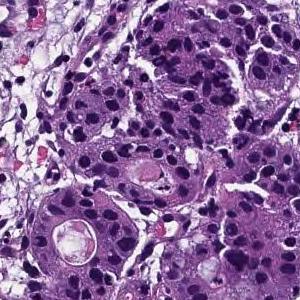
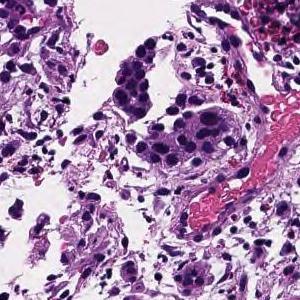
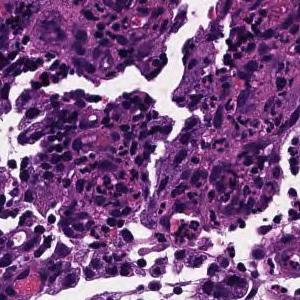
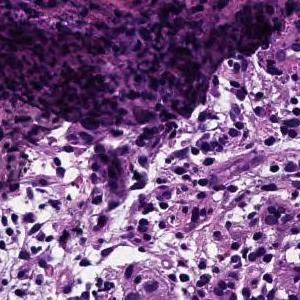
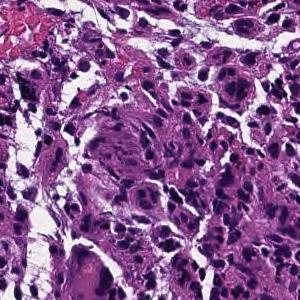
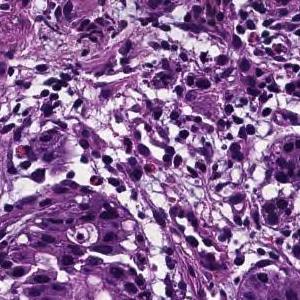
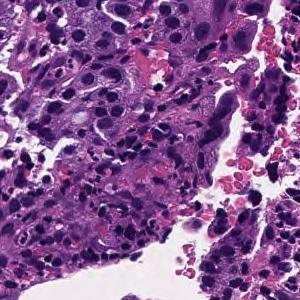
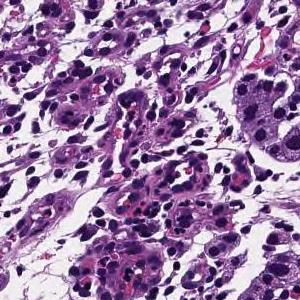
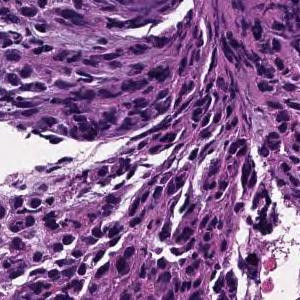
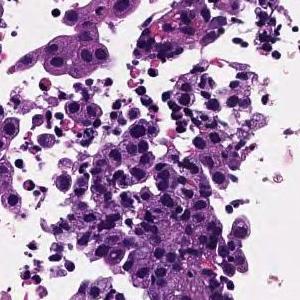
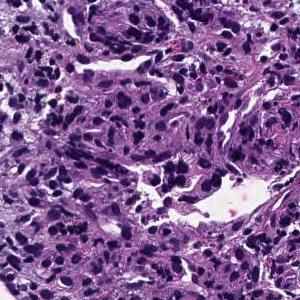
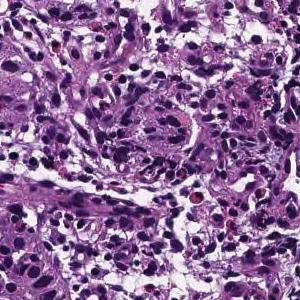
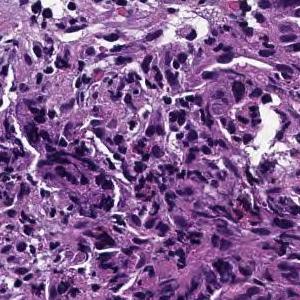
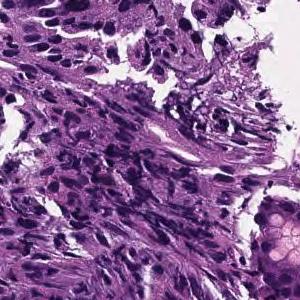
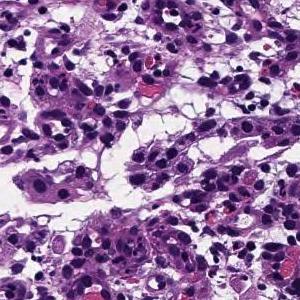
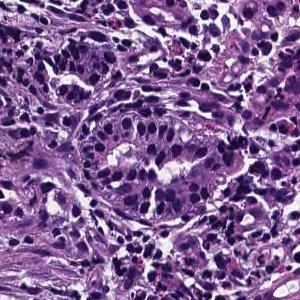
16 patches cut from one gastric biopsy slide; scanned at ×20.
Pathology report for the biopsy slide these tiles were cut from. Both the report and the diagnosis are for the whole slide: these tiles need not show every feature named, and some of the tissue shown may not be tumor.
Tumor tissue consisting of cord-like or small, irregular glandular ducts fused and infiltrated is observed in the superficial epithelium. Poorly differentiated adenocarcinoma, non-solid type
The non-solid type named here is a Japanese Classification of Gastric Carcinoma category.
